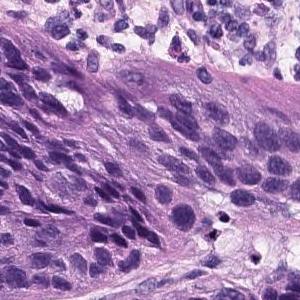
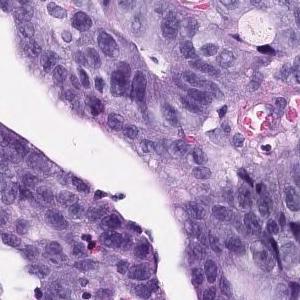
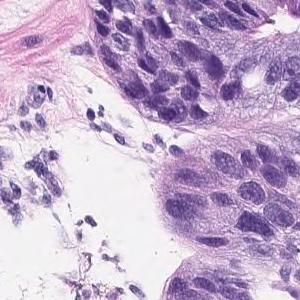
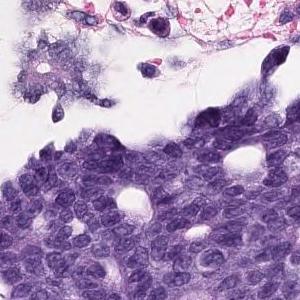
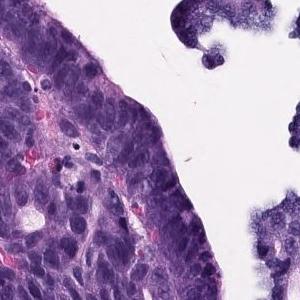
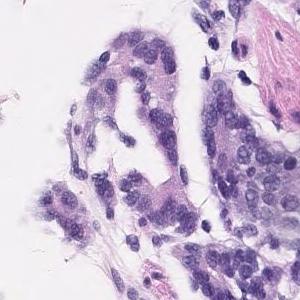
6 image tiles from a single gastric biopsy slide, each 300 × 300 pixels, H&E.
Diagnostic report for the slide these tiles come from. The report and the diagnosis describe the slide as a whole, so these tiles may not show every feature named and may include non-tumor tissue.
In the superficial epithelium, tumor tissue that invades by forming medium-sized to small, irregular ducts is observed. Well to moderately differentiated tubular adenocarcinoma.
